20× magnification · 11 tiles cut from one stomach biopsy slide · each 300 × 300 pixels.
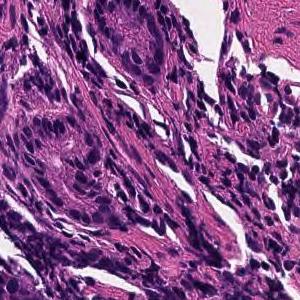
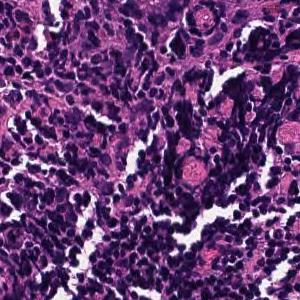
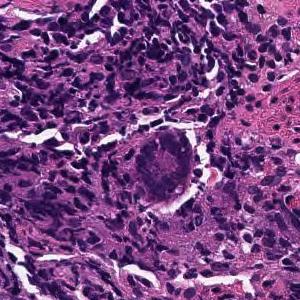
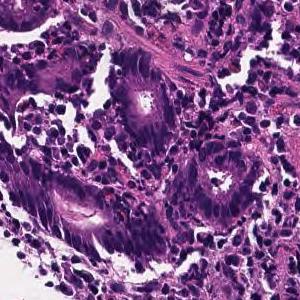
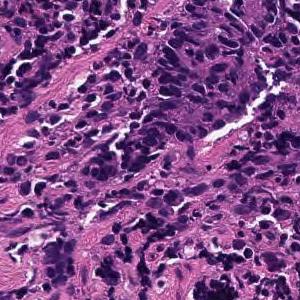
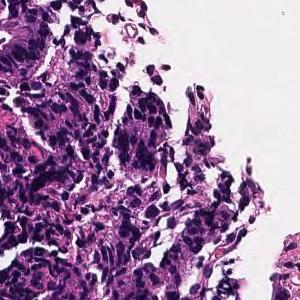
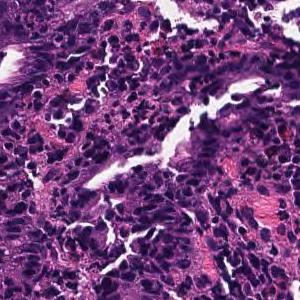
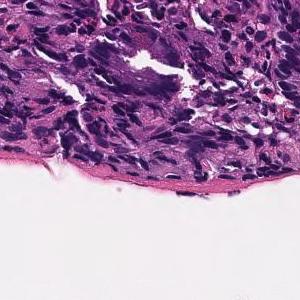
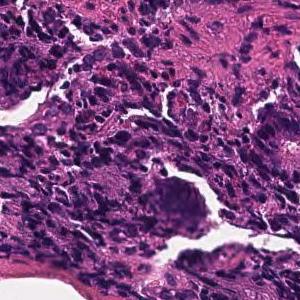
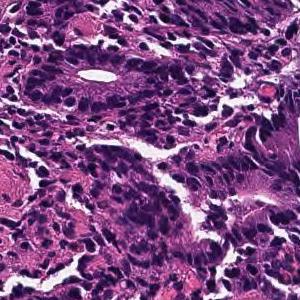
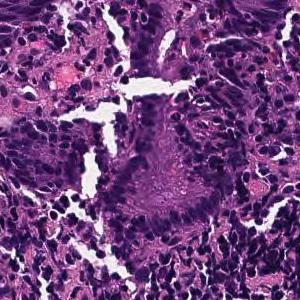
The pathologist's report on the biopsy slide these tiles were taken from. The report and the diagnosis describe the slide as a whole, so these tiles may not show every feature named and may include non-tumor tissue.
In the superficial epithelium, tumor tissue that invades by forming medium-sized to small, irregular ducts is observed. moderately differentiated tubular adenocarcinoma.
